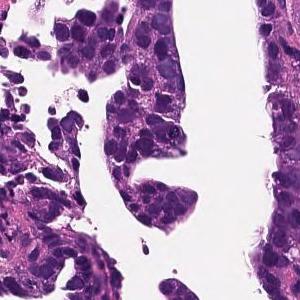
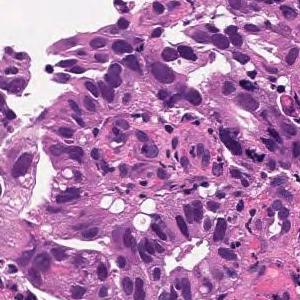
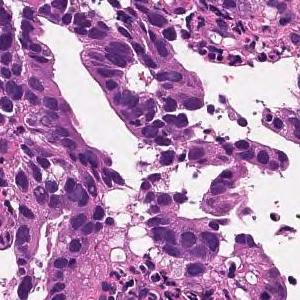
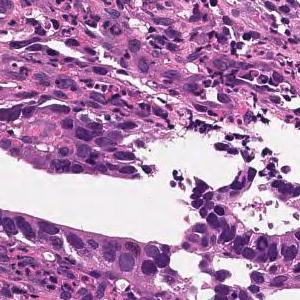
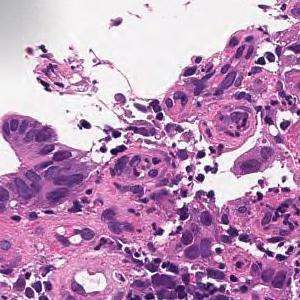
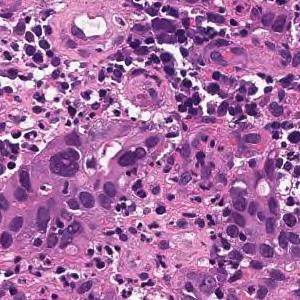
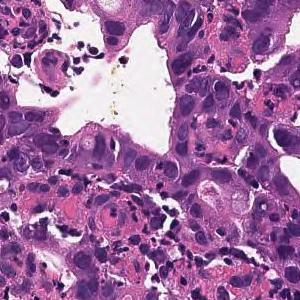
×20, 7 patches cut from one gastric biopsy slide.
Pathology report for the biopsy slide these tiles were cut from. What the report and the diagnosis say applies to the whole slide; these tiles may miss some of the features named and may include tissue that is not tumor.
Tumor cells are large, highly columnar, large club-shaped nuclei, and are associated with chromatin aggregation. Papillary adenocarcinoma.
